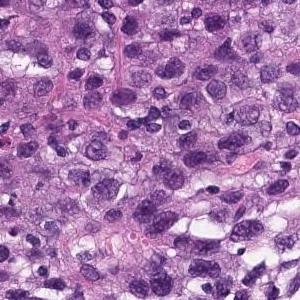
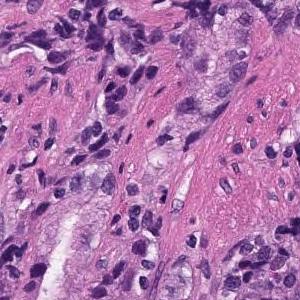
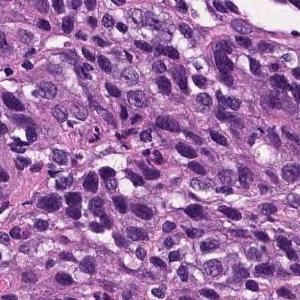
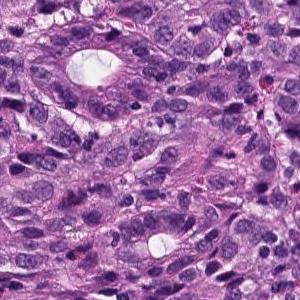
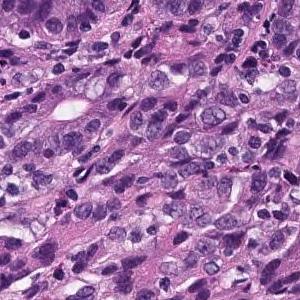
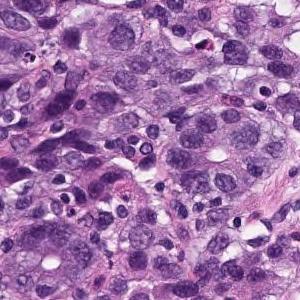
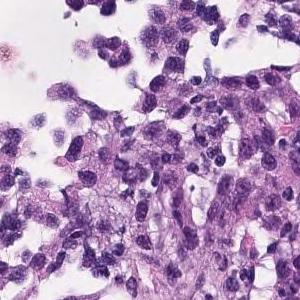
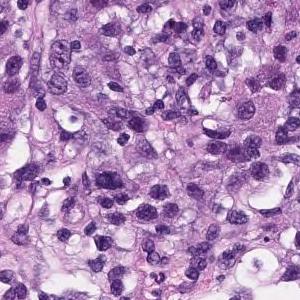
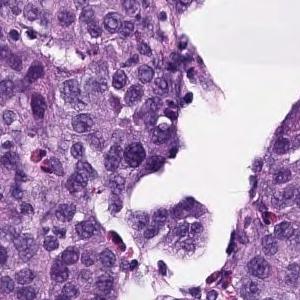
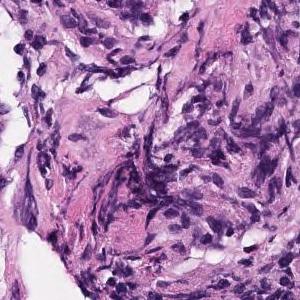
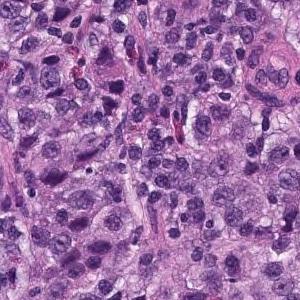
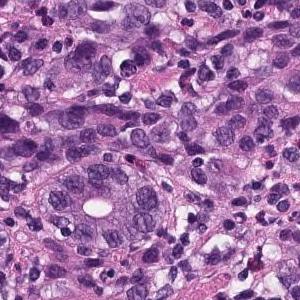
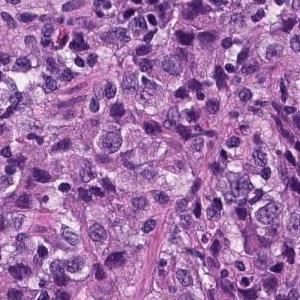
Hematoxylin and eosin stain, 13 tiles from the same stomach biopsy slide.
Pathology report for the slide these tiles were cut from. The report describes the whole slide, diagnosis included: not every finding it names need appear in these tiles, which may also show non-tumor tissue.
In the superficial epithelium, tumor tissue that invades by forming medium-sized to small, irregular ducts is observed. Moderately differentiated adenocarcinoma.
Histologic type: Moderately differentiated tubular adenocarcinoma.
